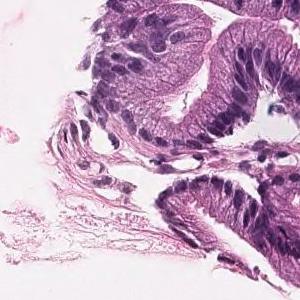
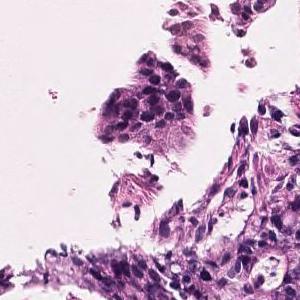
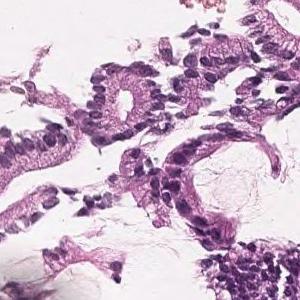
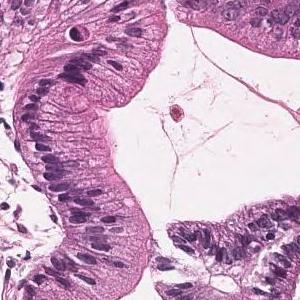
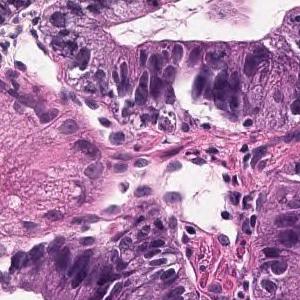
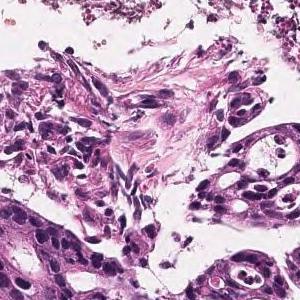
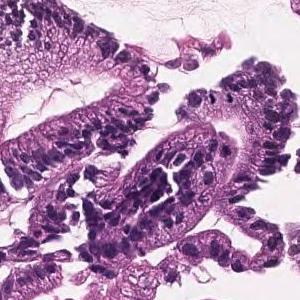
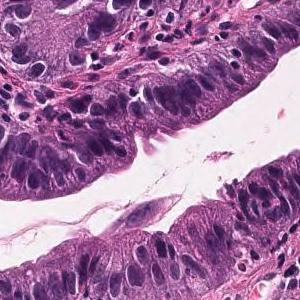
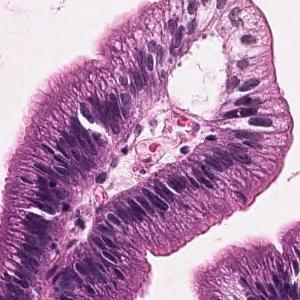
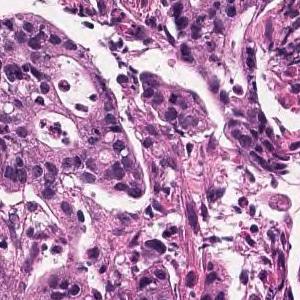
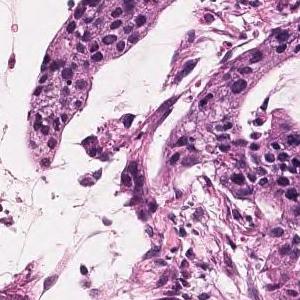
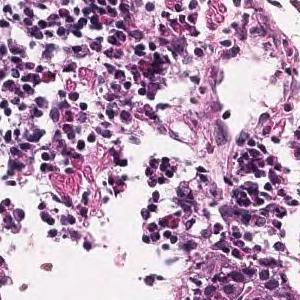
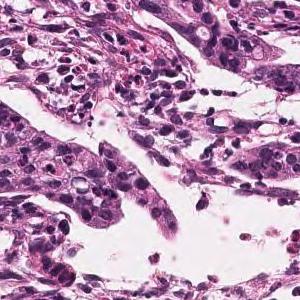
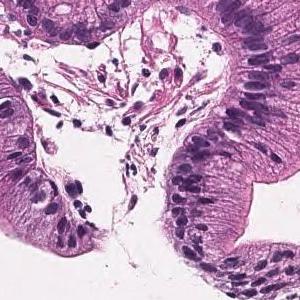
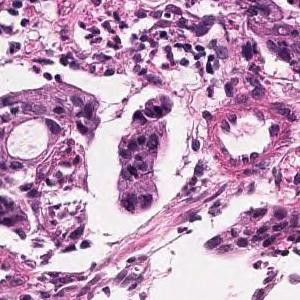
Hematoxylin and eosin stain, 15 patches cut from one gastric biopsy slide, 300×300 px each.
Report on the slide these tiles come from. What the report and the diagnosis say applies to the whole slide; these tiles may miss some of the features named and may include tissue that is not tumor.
Tumor tissue that grows invasively while the short atypical epithelium forms small ducts is observed. moderately differentiated tubular adenocarcinoma
